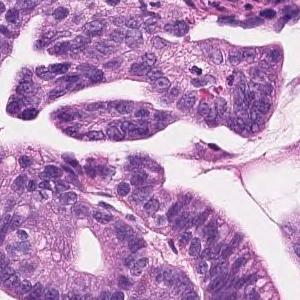
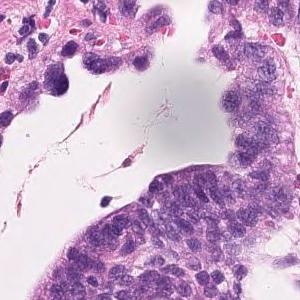
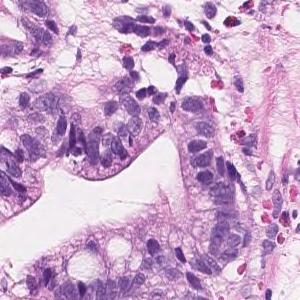
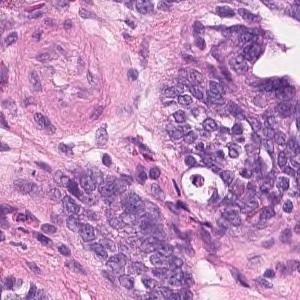
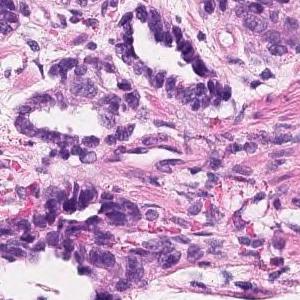
×20 · H&E · 5 image tiles from a single gastric biopsy slide.
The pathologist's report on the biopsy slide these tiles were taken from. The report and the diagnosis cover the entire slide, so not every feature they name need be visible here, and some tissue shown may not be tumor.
Tumor cells are large, highly columnar, large club-shaped nuclei, and are associated with chromatin aggregation. Papillary adenocarcinoma.
